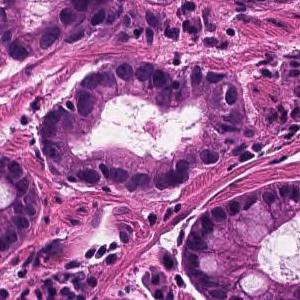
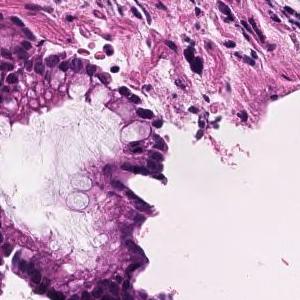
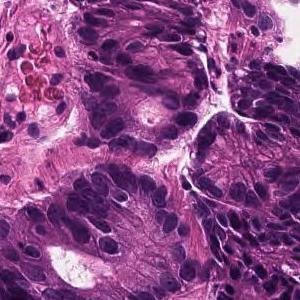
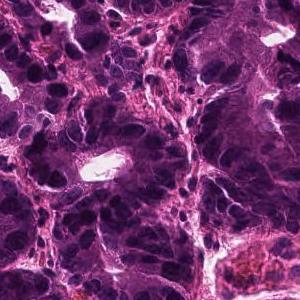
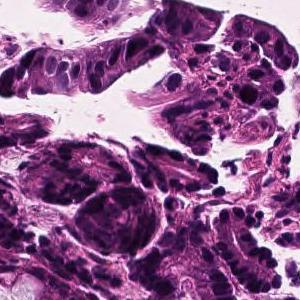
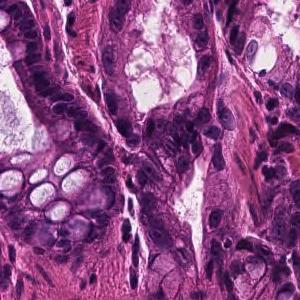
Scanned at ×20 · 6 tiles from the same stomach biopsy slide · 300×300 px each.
Report on the slide these tiles come from. The report describes the whole slide, diagnosis included: not every finding it names need appear in these tiles, which may also show non-tumor tissue.
In the superficial epithelium, tumor tissue that invades by forming medium-sized to small, irregular ducts is observed. Well differentiated tubular adenocarcinoma.
